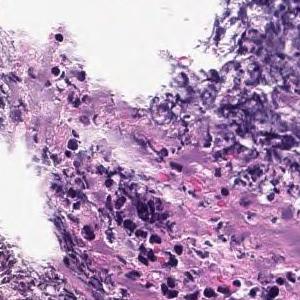
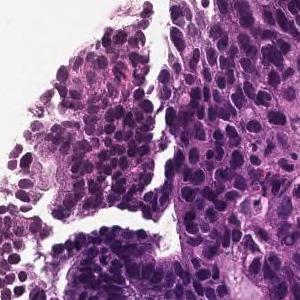
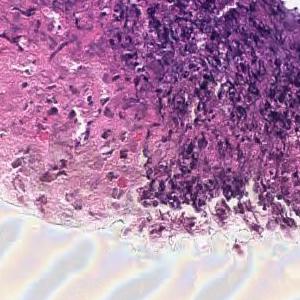
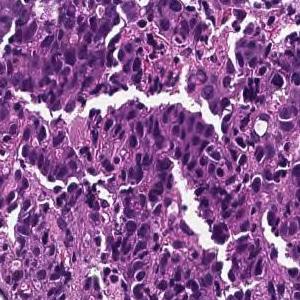
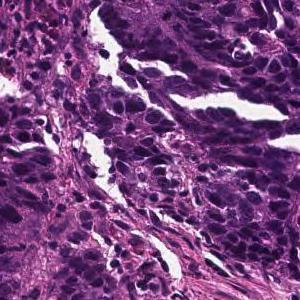
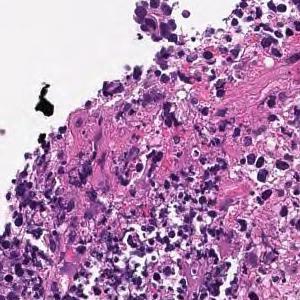
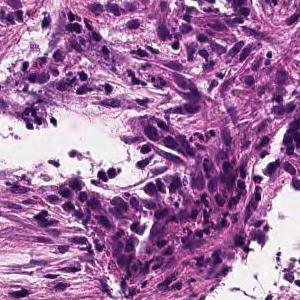
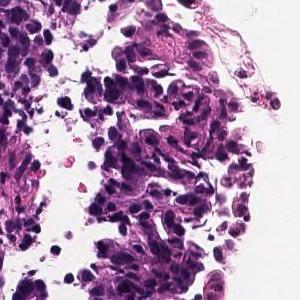
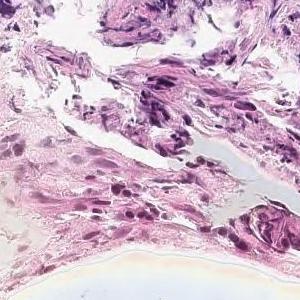
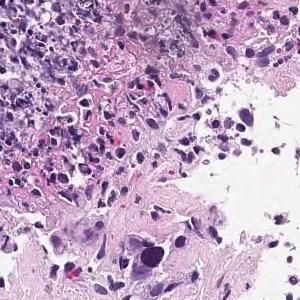
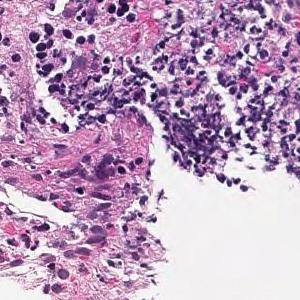
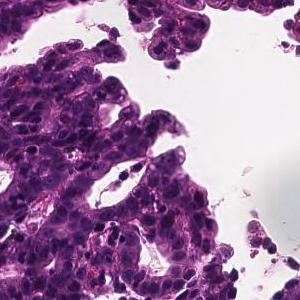
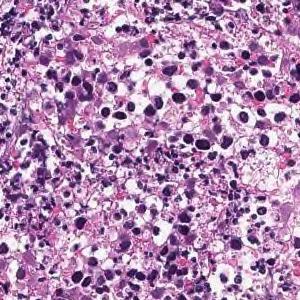
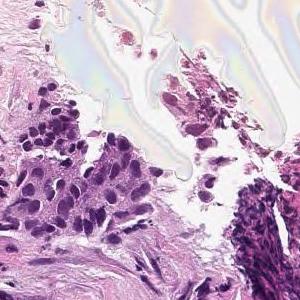
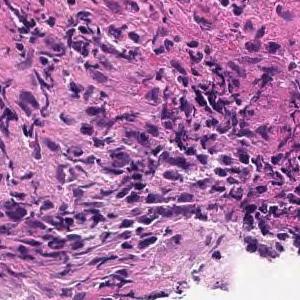
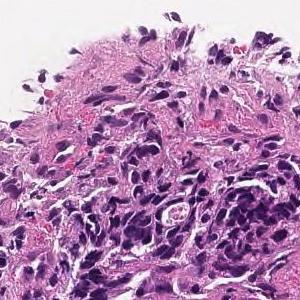
Hematoxylin and eosin stain · 20× magnification · 16 tiles from the same stomach biopsy slide.
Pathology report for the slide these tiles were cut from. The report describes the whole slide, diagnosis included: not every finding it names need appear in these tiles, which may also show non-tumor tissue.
In the superficial epithelium, tumor tissue that invades by forming medium-sized to small, irregular ducts is observed. moderately differentiated tubular adenocarcinoma.
